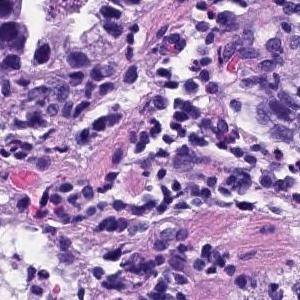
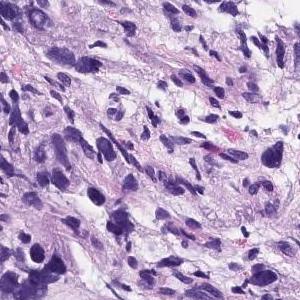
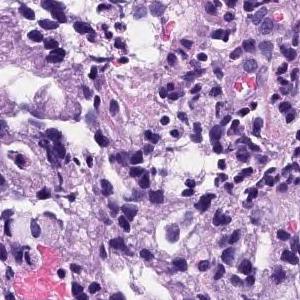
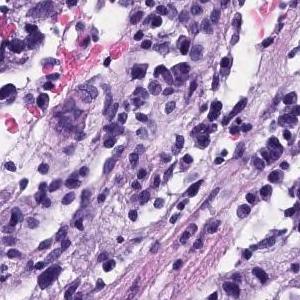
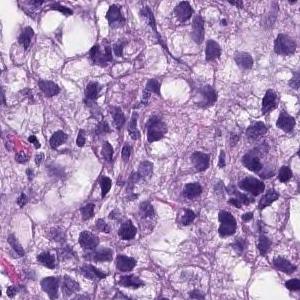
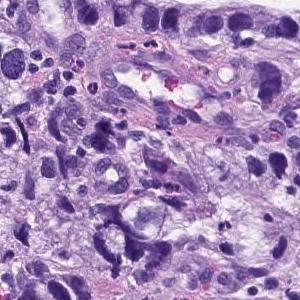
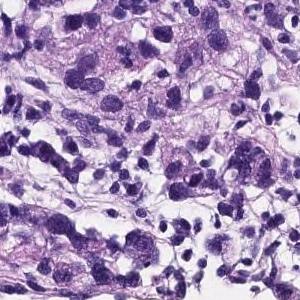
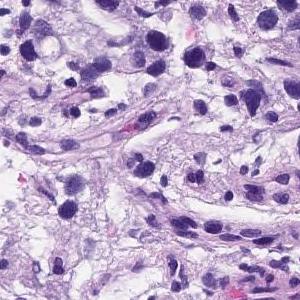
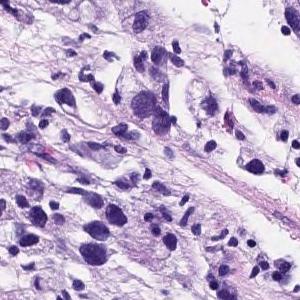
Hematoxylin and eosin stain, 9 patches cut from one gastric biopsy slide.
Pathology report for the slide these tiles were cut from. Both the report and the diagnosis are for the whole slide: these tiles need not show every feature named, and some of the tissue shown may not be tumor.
Medium to small, irregular glandular ducts are formed in the superficial epithelium, and in some cases, the glandular ducts are fused to show solid alveolar lesions and infiltrating tumor tissue is observed. Poorly differentiated adenocarcinoma, Moderately differentiated adenocarcinoma.
Labeled in the dataset as moderately differentiated tubular adenocarcinoma.
